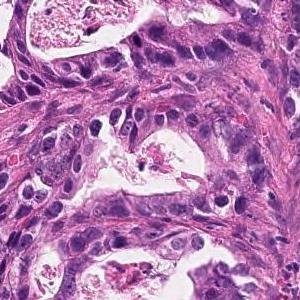
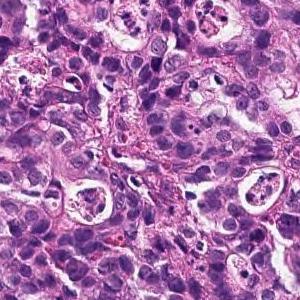
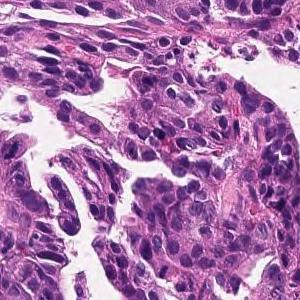
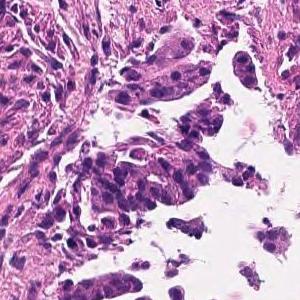
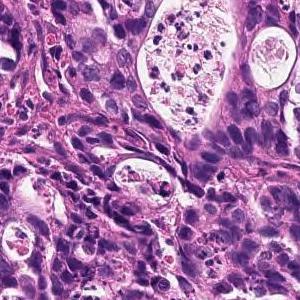
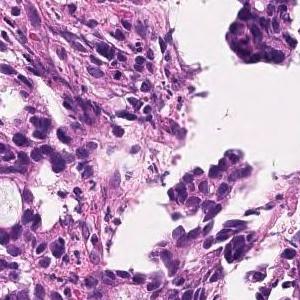
Scanned at ×20, H&E, 6 tiles cut from one stomach biopsy slide, each 300 × 300 pixels.
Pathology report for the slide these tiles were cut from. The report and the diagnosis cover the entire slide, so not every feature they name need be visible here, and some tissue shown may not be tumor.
On the superficial epithelium, tumor tissue consisting of images of small to medium-sized and irregular tubules infiltrating with irregular fusion is observed. moderately differentiated tubular adenocarcinoma
